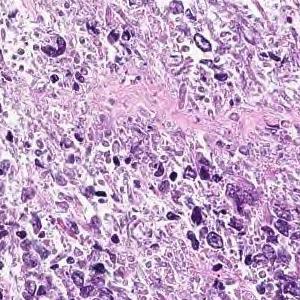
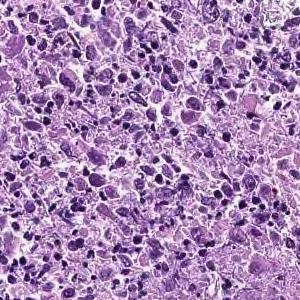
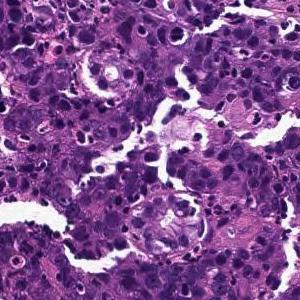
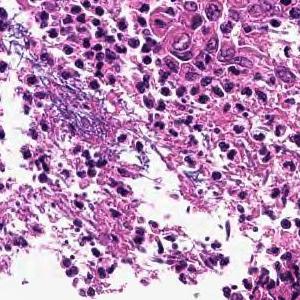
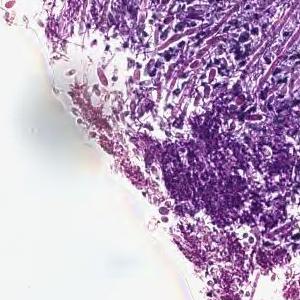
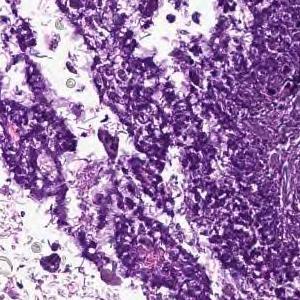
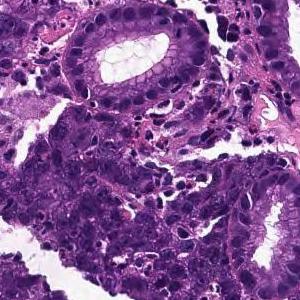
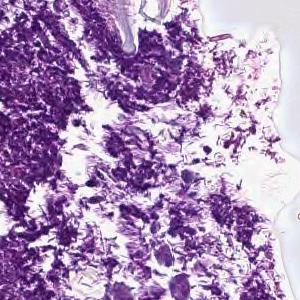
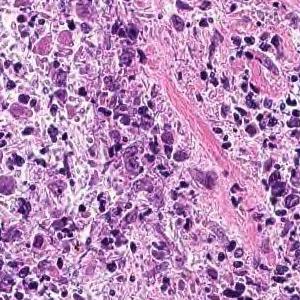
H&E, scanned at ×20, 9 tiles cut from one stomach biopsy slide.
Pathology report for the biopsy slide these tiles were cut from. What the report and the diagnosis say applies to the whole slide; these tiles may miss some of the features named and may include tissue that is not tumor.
Cancers with polygonal nuclei do not show glandular formation and are densely, in part, cord-like and proliferate. Poorly differentiated adenocarcinoma
Histological subtype: Poorly differentiated adenocarcinoma, non-solid type.
The term "non-solid type" comes from the Japanese Classification of Gastric Carcinoma.
